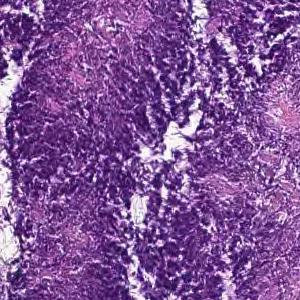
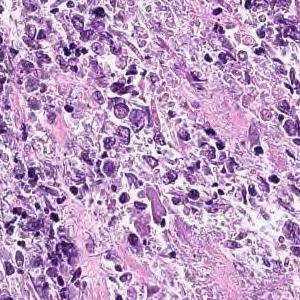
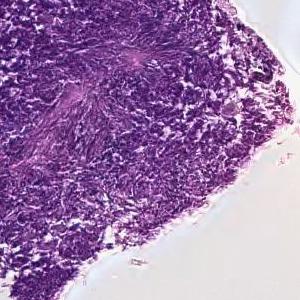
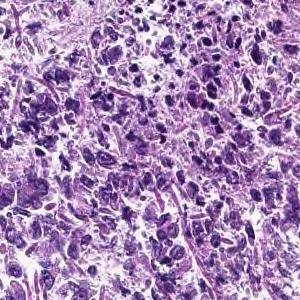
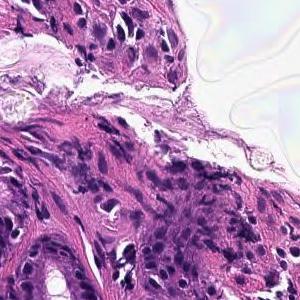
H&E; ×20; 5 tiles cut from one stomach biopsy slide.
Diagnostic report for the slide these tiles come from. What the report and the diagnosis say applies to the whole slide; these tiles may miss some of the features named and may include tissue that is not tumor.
Cancers with polygonal nuclei do not show glandular formation and are densely, in part, cord-like and proliferate. Poorly differentiated adenocarcinoma
Histological subtype: Poorly differentiated adenocarcinoma, non-solid type.
The term "non-solid type" comes from the Japanese Classification of Gastric Carcinoma.
